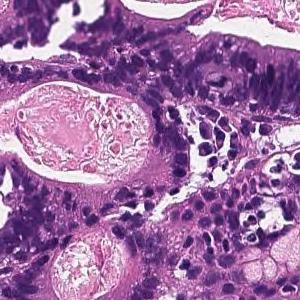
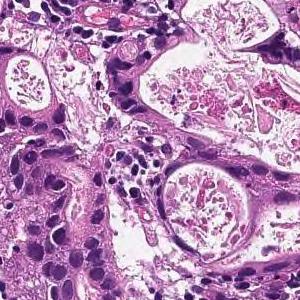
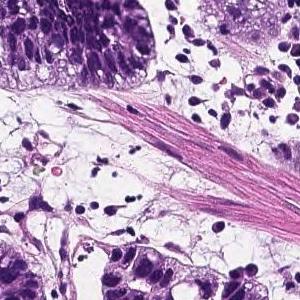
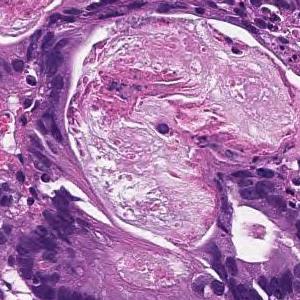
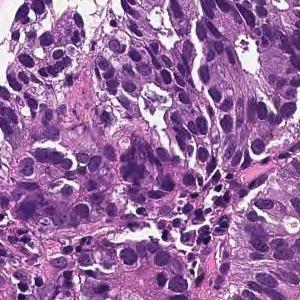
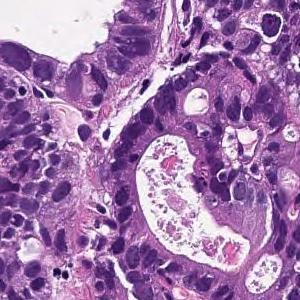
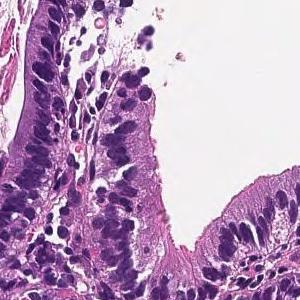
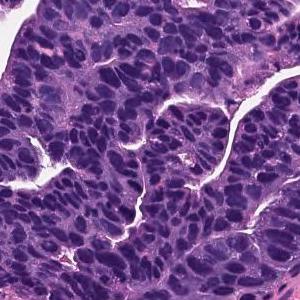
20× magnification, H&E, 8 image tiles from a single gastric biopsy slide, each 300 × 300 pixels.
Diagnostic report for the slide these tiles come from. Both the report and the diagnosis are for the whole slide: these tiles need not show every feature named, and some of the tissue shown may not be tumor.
In the superficial epithelium, tumor tissue that invades by forming medium-sized to small, irregular ducts is observed. moderately differentiated tubular adenocarcinoma.
